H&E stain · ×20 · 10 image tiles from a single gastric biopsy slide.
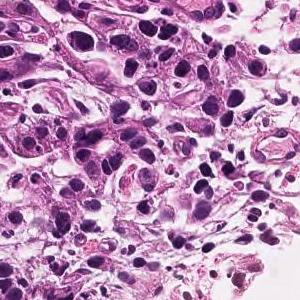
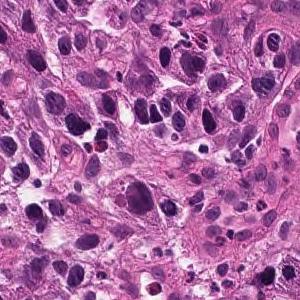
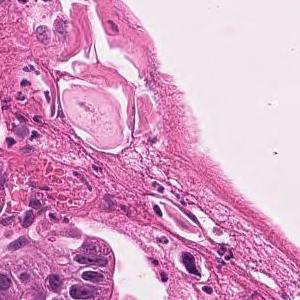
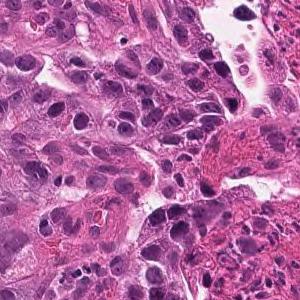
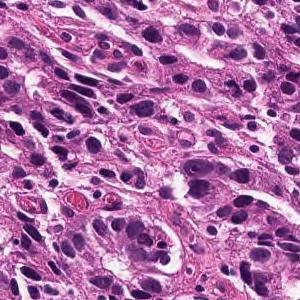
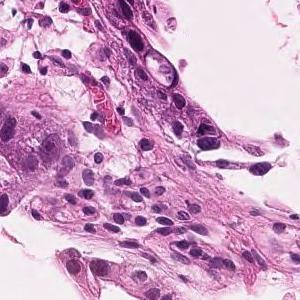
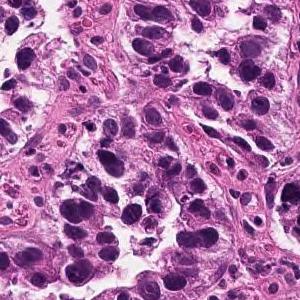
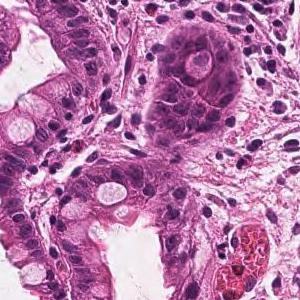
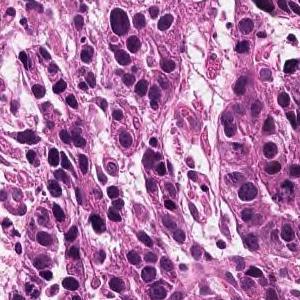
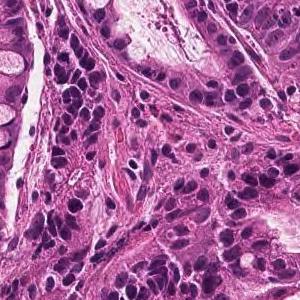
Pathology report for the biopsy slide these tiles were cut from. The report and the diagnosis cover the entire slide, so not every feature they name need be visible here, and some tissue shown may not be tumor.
Tumor tissue consisting of medium-sized, cord-like or irregular glandular infiltration is observed in the superficial epithelium. Poorly differentiated adenocarcinoma, non-solid type or moderately differentiated tubular adenocarcinoma
Histologic type: Moderately to poorly differentiated adenocarcinoma.
The term "non-solid type" comes from the Japanese Classification of Gastric Carcinoma.
